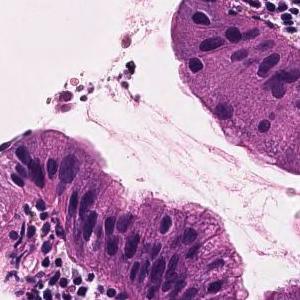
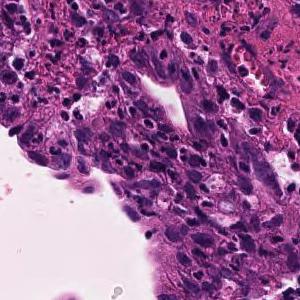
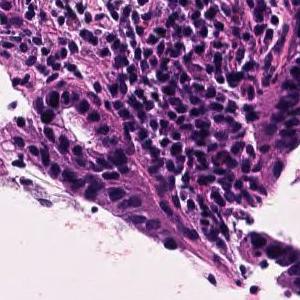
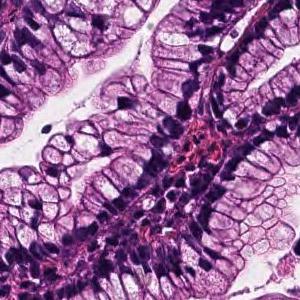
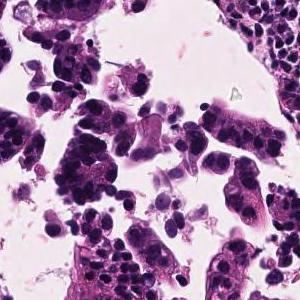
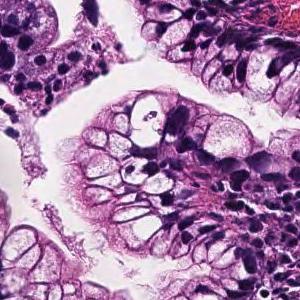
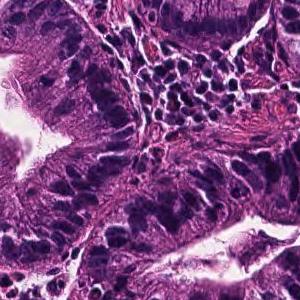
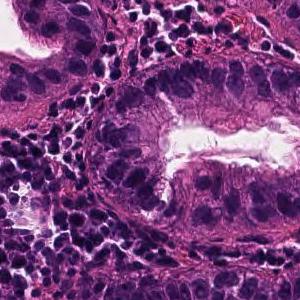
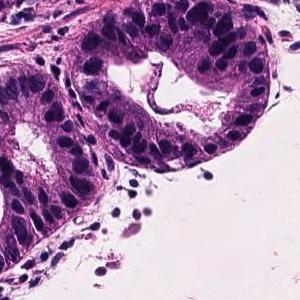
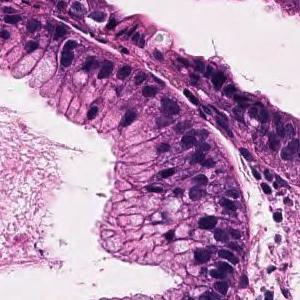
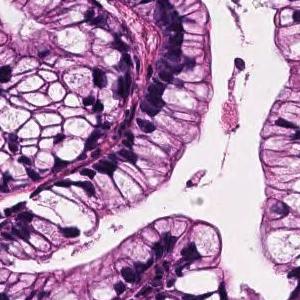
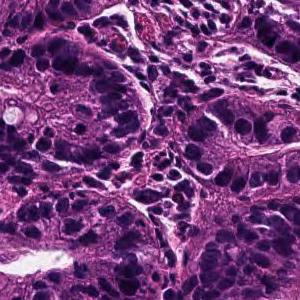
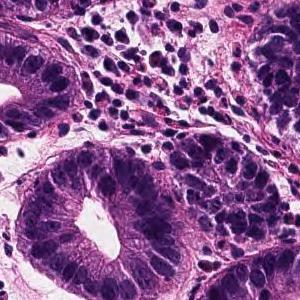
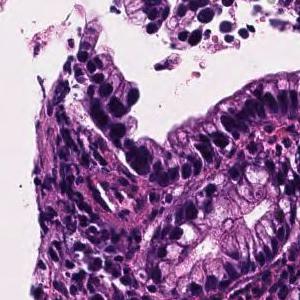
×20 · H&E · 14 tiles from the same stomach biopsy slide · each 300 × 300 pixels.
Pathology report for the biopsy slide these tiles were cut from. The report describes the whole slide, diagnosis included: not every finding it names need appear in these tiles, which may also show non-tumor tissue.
Tumor cells are large, highly columnar, large club-shaped nuclei, and are associated with chromatin aggregation. Papillary adenocarcinoma.
